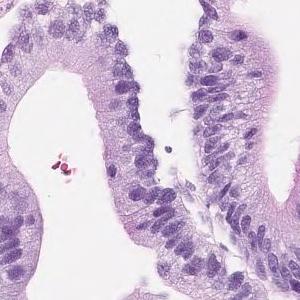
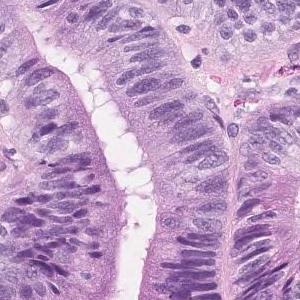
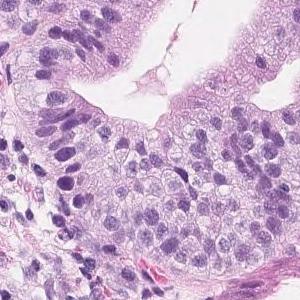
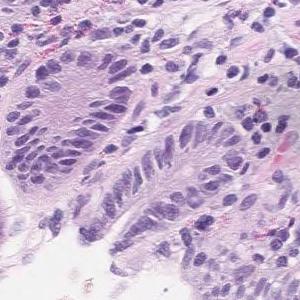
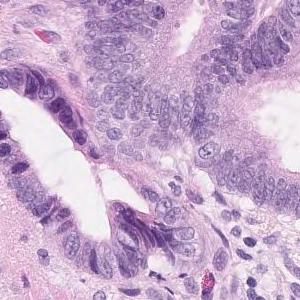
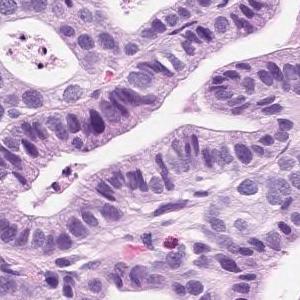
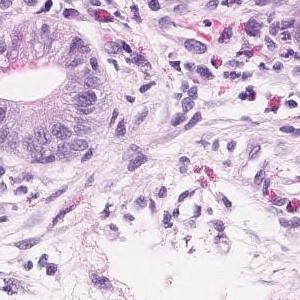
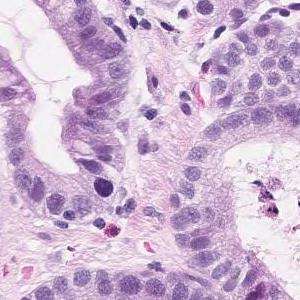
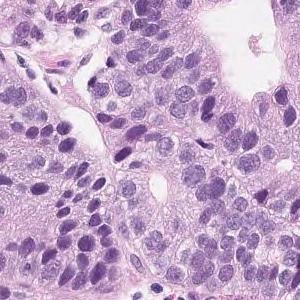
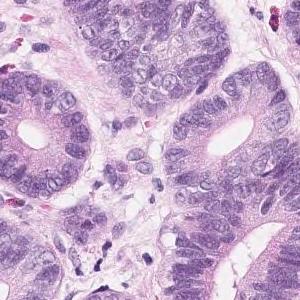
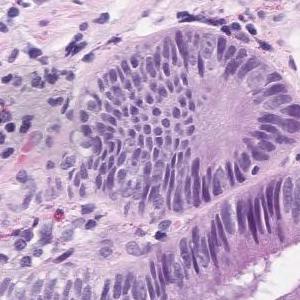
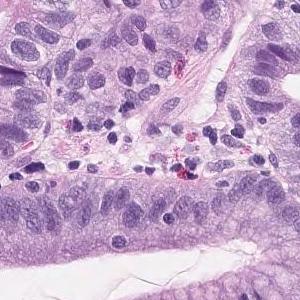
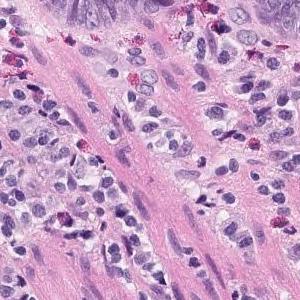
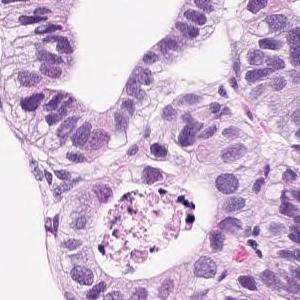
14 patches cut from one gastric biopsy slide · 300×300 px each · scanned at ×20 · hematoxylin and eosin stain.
Pathology report for the biopsy slide these tiles were cut from. Both the report and the diagnosis are for the whole slide: these tiles need not show every feature named, and some of the tissue shown may not be tumor.
Short atypical epithelium with swelling of the nucleus shows proliferating, large and small irregular ductal structures. Well to moderately differentiated tubular adenocarcinoma (well differentiated tubular adenocarcinoma-moderately differentiated tubular adenocarcinoma)
Subtype: Well to moderately differentiated tubular adenocarcinoma.
